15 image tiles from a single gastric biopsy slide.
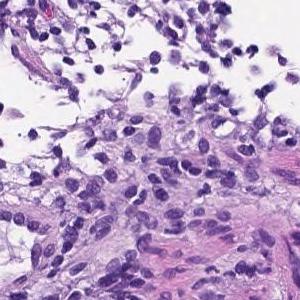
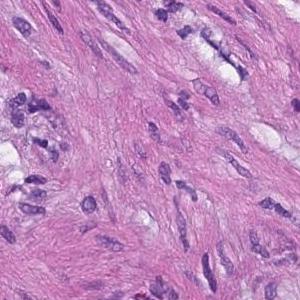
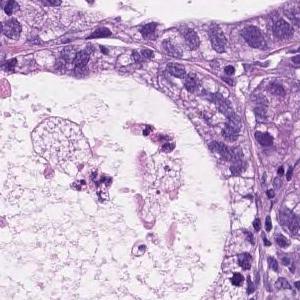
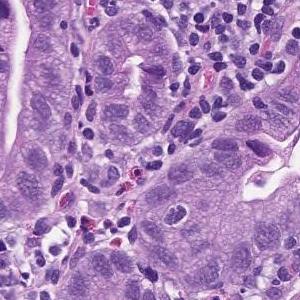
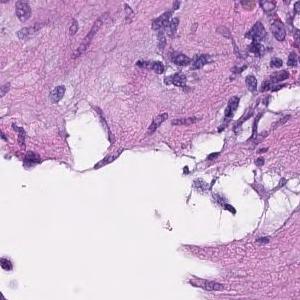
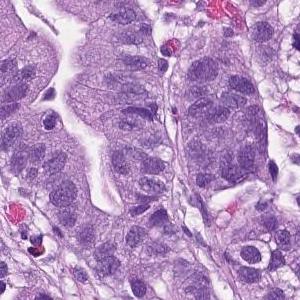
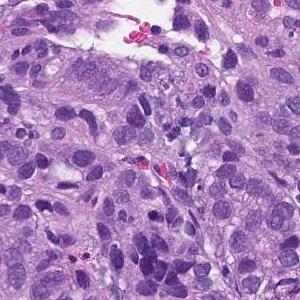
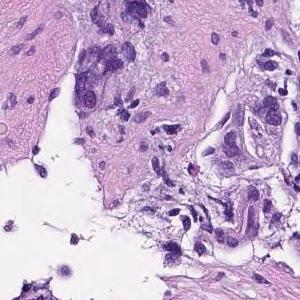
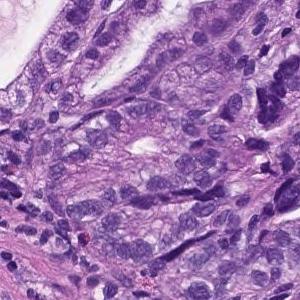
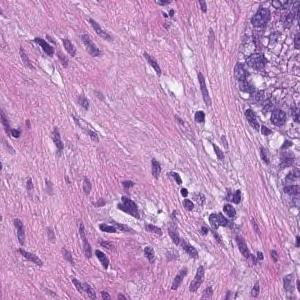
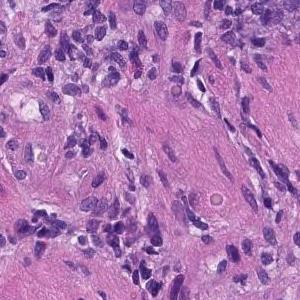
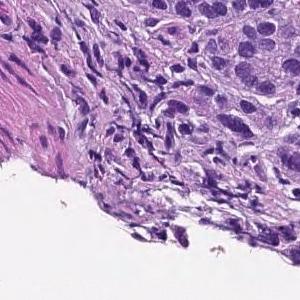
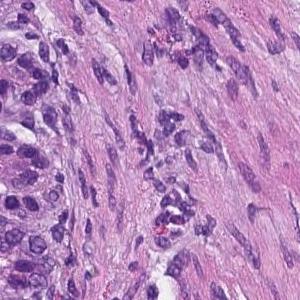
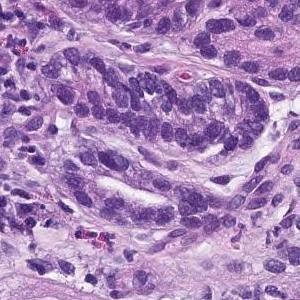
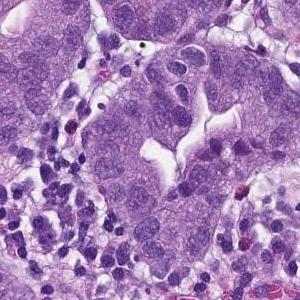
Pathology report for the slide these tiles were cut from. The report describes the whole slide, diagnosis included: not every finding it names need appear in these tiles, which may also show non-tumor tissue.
From the superficial epithelium to the muscularis mucosae, tumor tissue consisting of medium-sized and irregular glandular ducts infiltrating is observed. Well differentiated tubular adenocarcinoma
